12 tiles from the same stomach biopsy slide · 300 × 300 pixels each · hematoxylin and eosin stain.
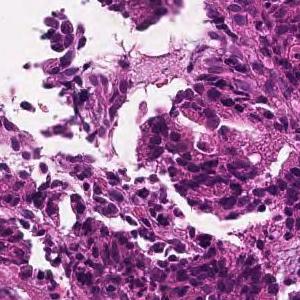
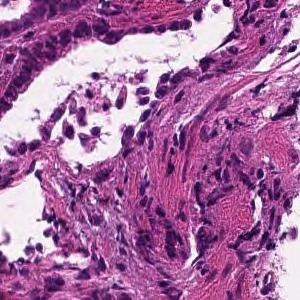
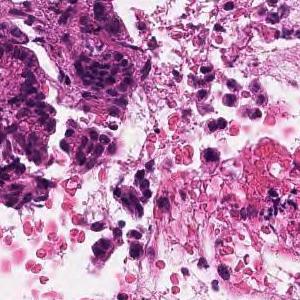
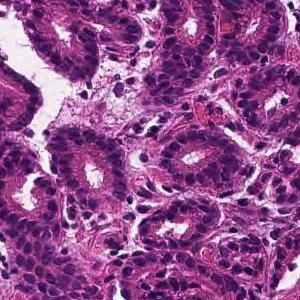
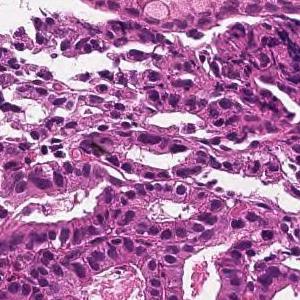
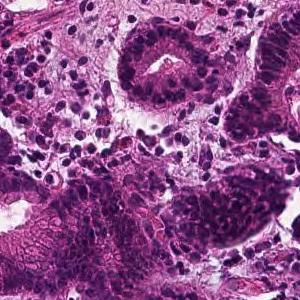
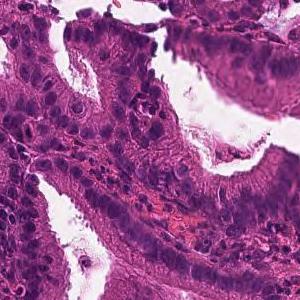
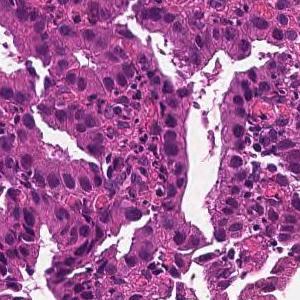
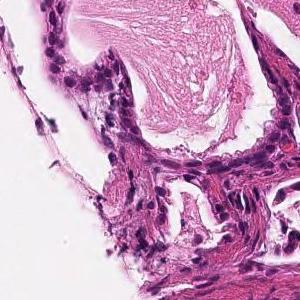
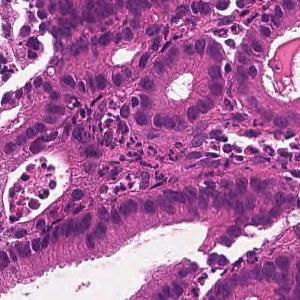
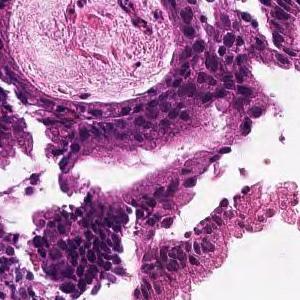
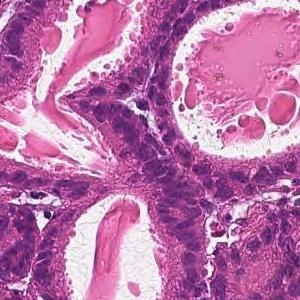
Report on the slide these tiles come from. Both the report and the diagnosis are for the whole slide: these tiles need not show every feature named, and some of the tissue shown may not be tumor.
From the superficial epithelium to the muscularis mucosae, tumor tissue consisting of medium-sized and irregular glandular ducts infiltrating is observed. Well differentiated tubular adenocarcinoma
